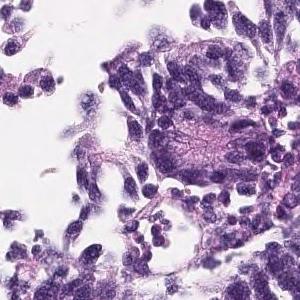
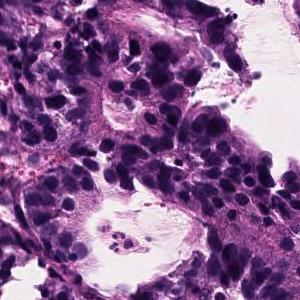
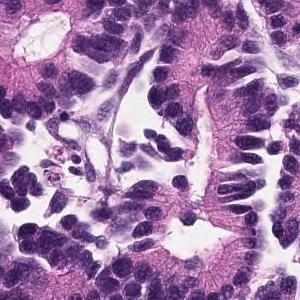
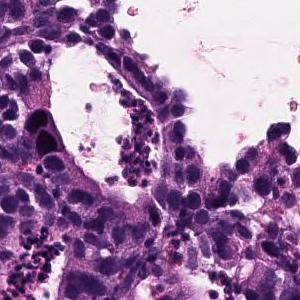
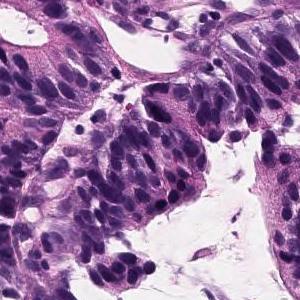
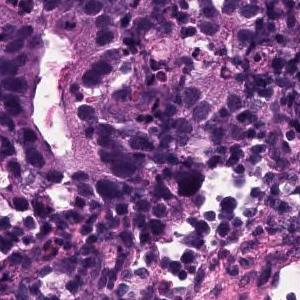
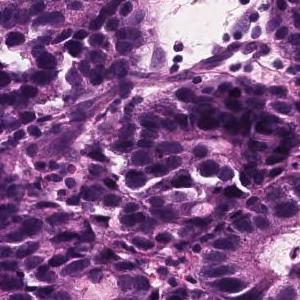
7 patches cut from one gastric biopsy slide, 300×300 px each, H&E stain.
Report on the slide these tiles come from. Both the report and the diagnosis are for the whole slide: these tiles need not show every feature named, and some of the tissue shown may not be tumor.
In the superficial epithelium, tumor tissue that invades by forming medium-sized to small, irregular ducts is observed. moderately differentiated tubular adenocarcinoma.
